×20, H&E, 5 tiles cut from one stomach biopsy slide, 300 × 300 pixels each.
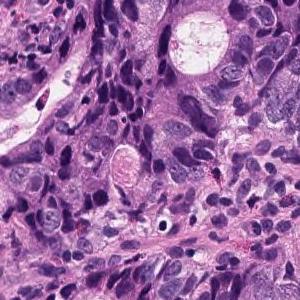
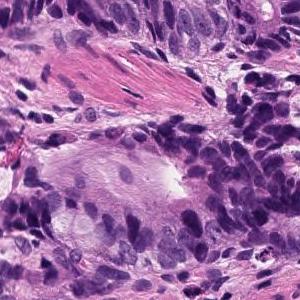
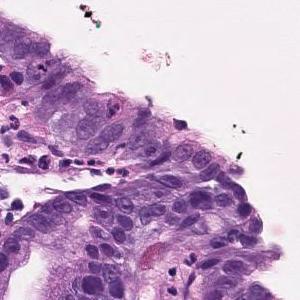
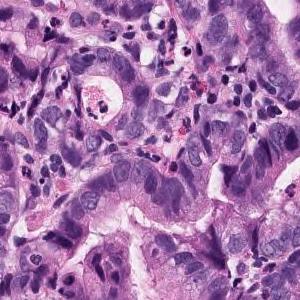
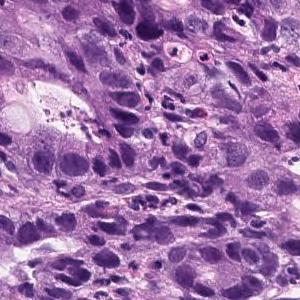
Pathology report for the biopsy slide these tiles were cut from. What the report and the diagnosis say applies to the whole slide; these tiles may miss some of the features named and may include tissue that is not tumor.
The swollen atypical epithelium of the nucleus forms an irregular ductal structure and proliferates. moderately differentiated tubular adenocarcinoma
